13 image tiles from a single gastric biopsy slide; 300×300 px each.
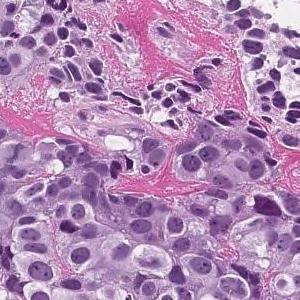
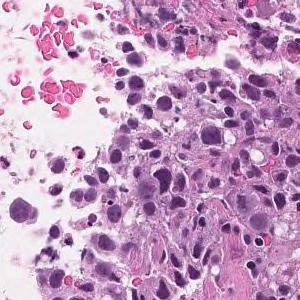
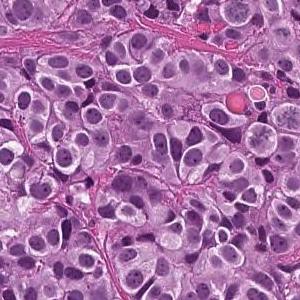
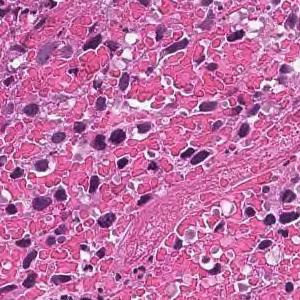
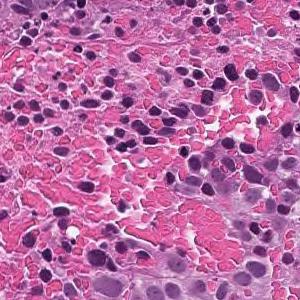
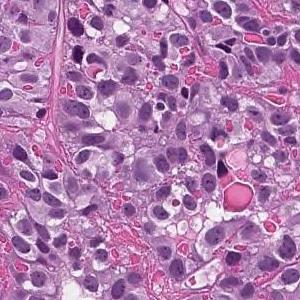
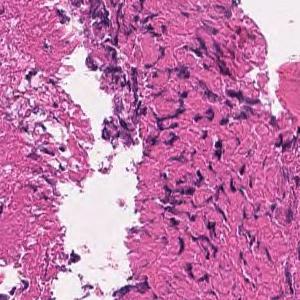
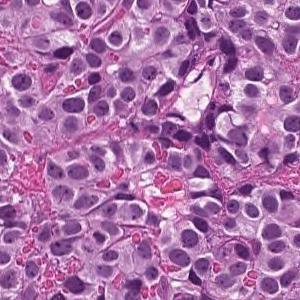
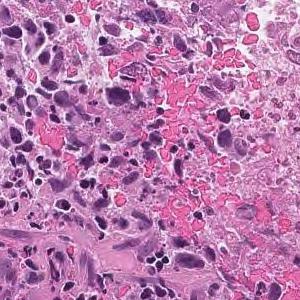
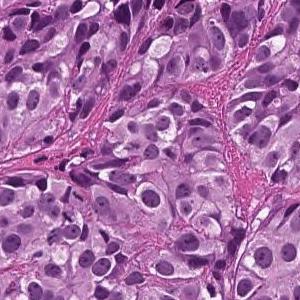
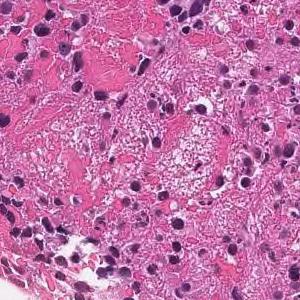
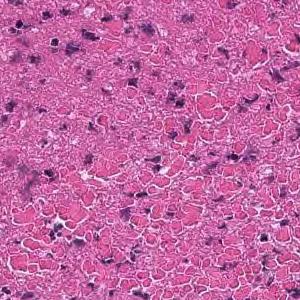
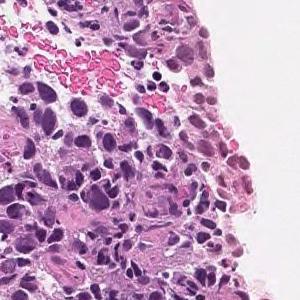
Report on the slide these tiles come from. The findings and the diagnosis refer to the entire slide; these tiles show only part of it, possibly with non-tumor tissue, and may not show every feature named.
The superficial epithelium shows a large sheet-like shape, and some tumor tissue infiltrates with small irregular ducts. Poorly differentiated adenocarcinoma, solid-type
Subtype: Poorly differentiated adenocarcinoma, solid type, a category of the Japanese Classification of Gastric Carcinoma; in the WHO 2019 classification it is tubular adenocarcinoma, poorly differentiated.
